15 tiles from the same stomach biopsy slide, 300 × 300 pixels each, H&E, ×20.
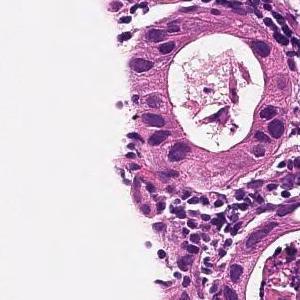
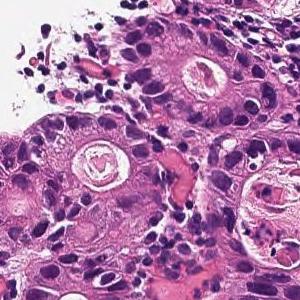
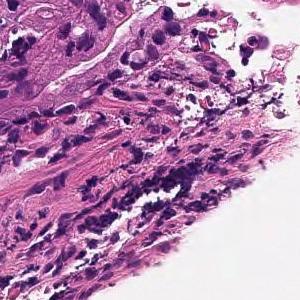
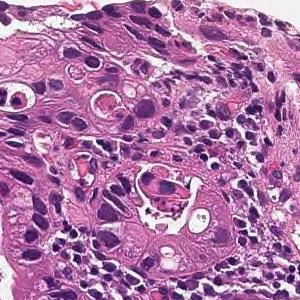
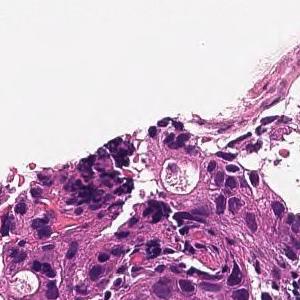
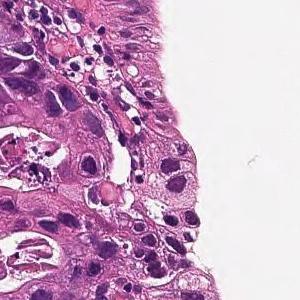
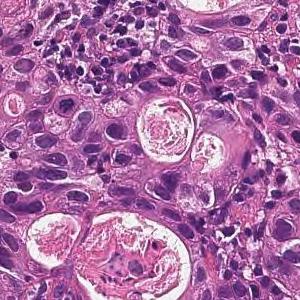
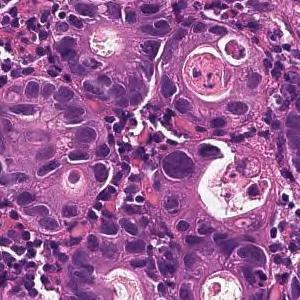
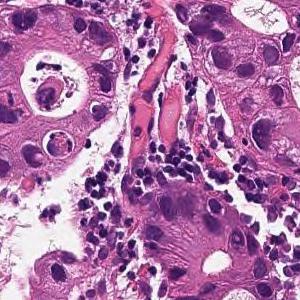
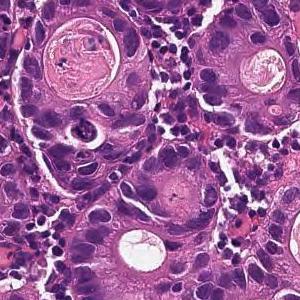
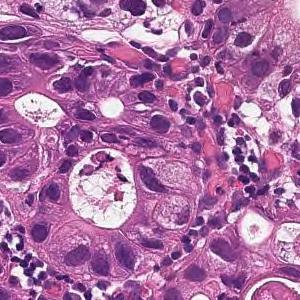
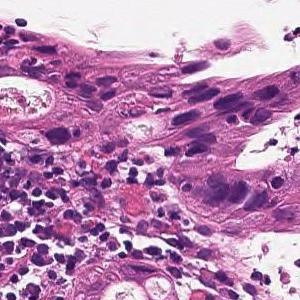
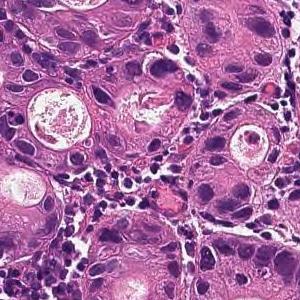
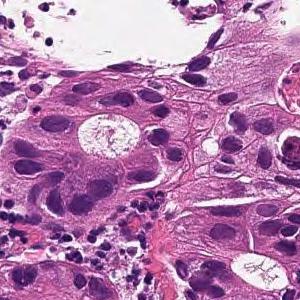
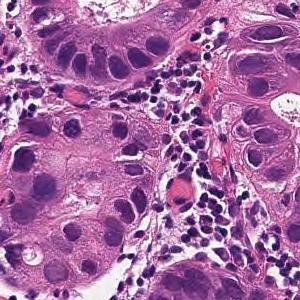
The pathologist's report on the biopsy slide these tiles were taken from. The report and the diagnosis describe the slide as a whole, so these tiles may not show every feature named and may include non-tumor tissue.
From the superficial epithelium to the muscularis mucosae, tumor tissue consisting of medium-sized and irregular glandular ducts infiltrating is observed. Well differentiated tubular adenocarcinoma
